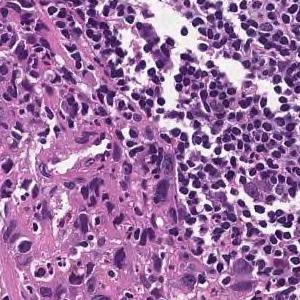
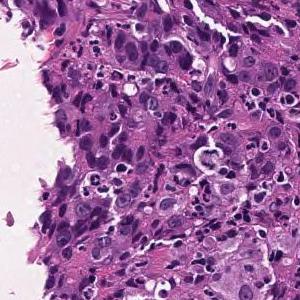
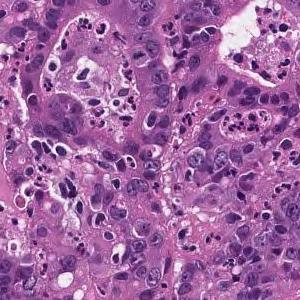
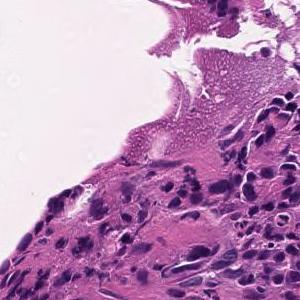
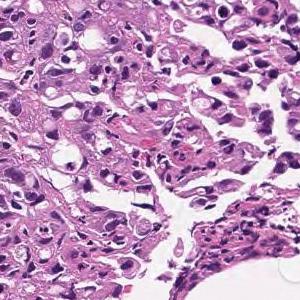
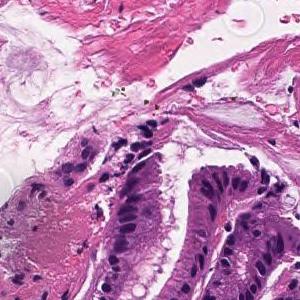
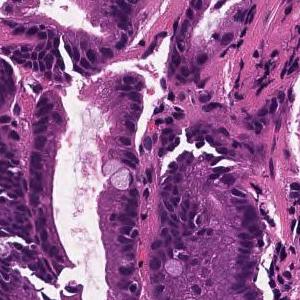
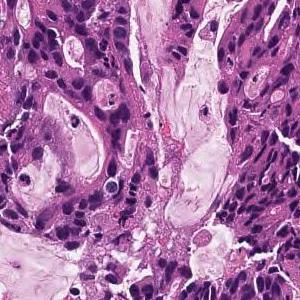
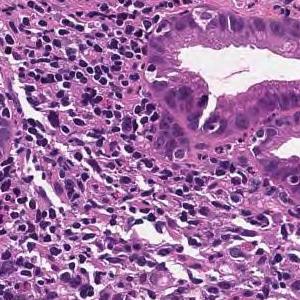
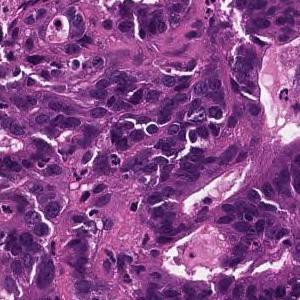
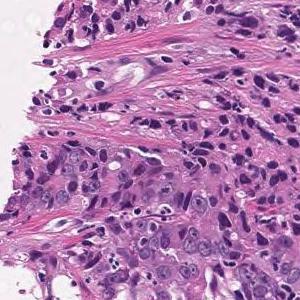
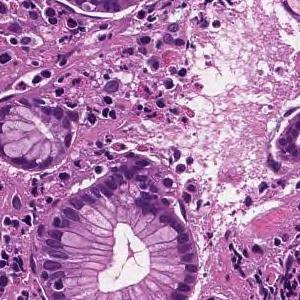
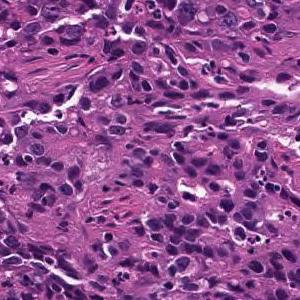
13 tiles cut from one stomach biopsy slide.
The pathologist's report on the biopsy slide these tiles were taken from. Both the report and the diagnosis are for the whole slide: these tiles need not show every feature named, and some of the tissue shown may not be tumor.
In the superficial epithelium, tumor tissue that invades by forming medium-sized to small, irregular ducts is observed. moderately differentiated tubular adenocarcinoma.
